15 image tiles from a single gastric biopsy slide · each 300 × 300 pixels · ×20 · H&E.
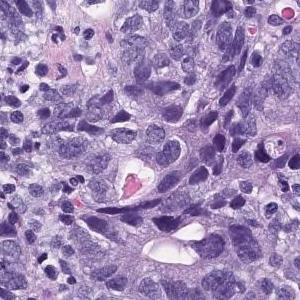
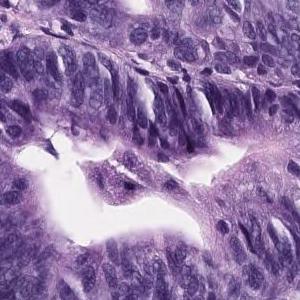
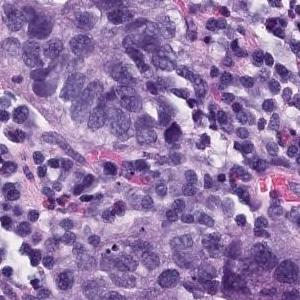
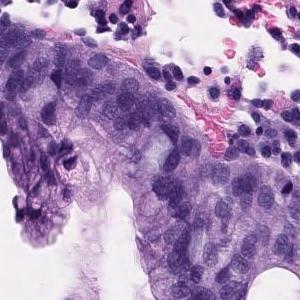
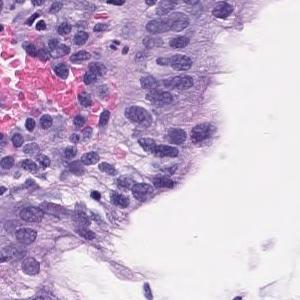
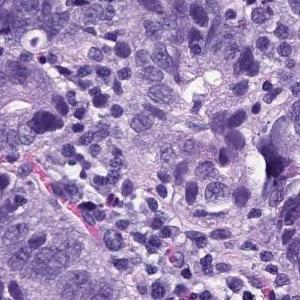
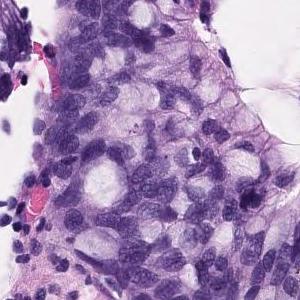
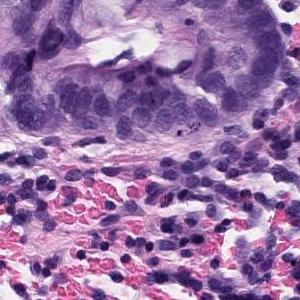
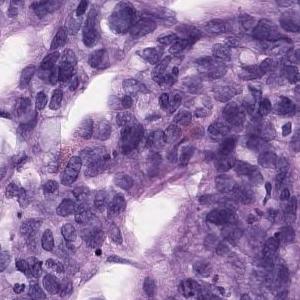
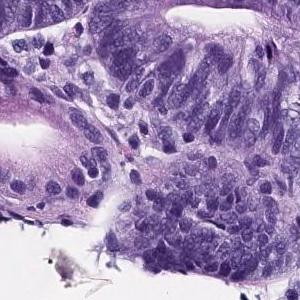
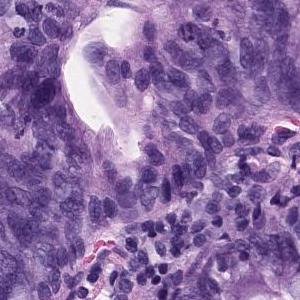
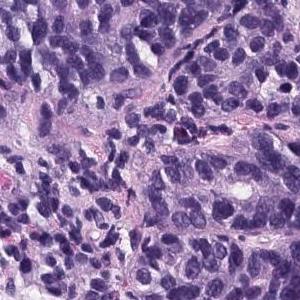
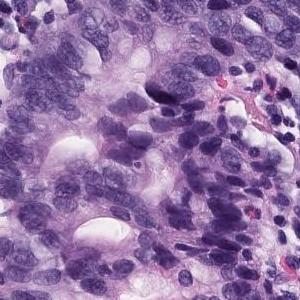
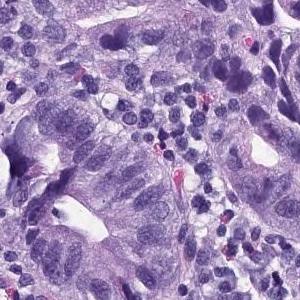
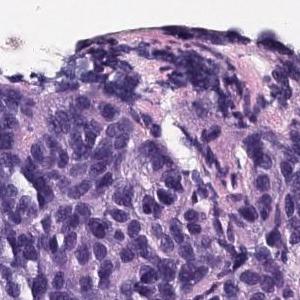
Pathology report for the slide these tiles were cut from. The findings and the diagnosis refer to the entire slide; these tiles show only part of it, possibly with non-tumor tissue, and may not show every feature named.
In the superficial epithelium, tumor tissue that invades by forming medium-sized to small, irregular ducts is observed. Moderately differentiated adenocarcinoma.
Tumor subtype: moderately differentiated tubular adenocarcinoma.
